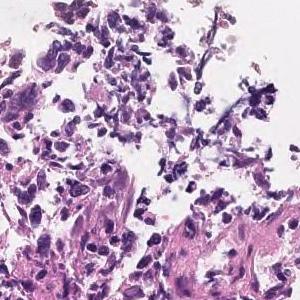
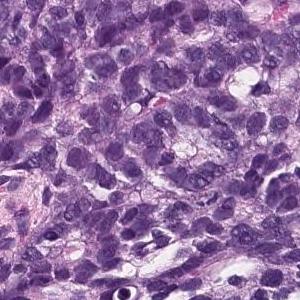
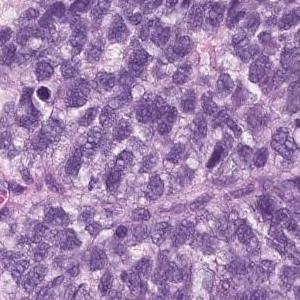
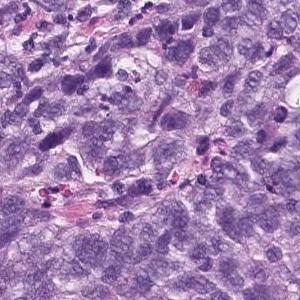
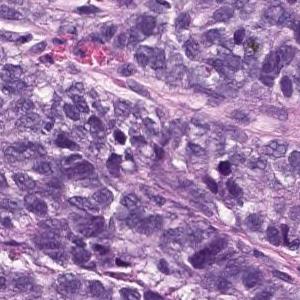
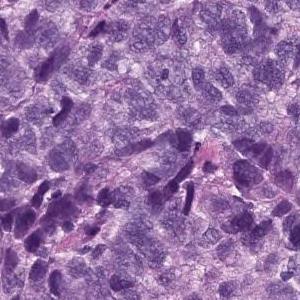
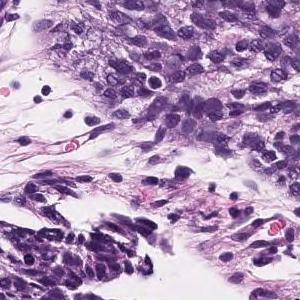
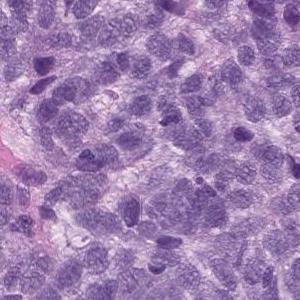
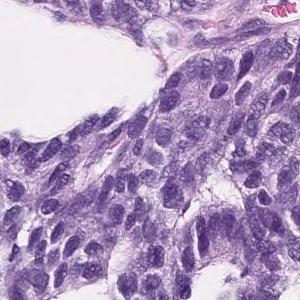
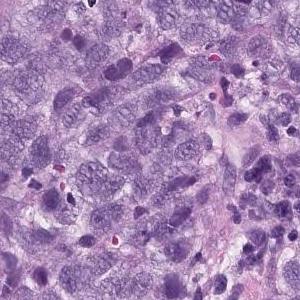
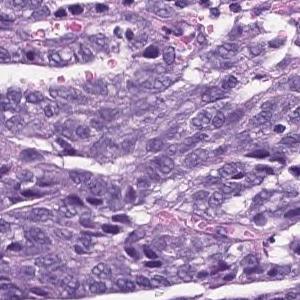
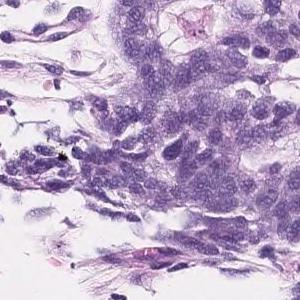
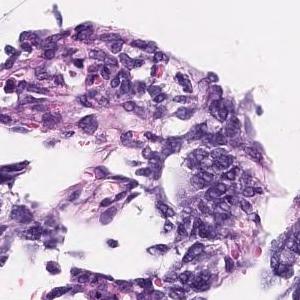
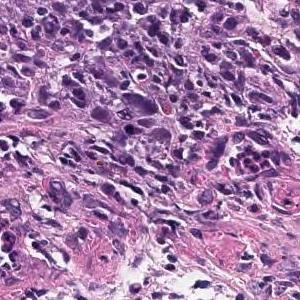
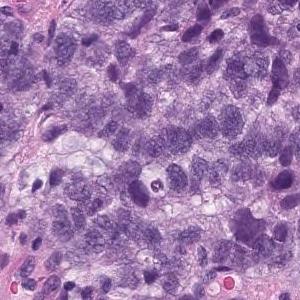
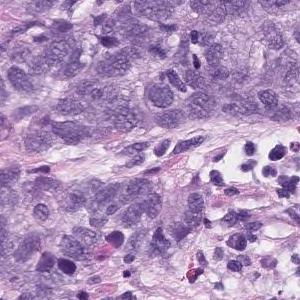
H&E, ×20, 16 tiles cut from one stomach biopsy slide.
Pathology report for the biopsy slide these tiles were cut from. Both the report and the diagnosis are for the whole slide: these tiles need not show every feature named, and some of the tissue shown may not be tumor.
Epithelial cells with swollen nuclei with atypia invasively proliferating while forming vesicles is observed. Poorly differentiated adenocarcinoma
Histological subtype: Poorly differentiated adenocarcinoma, solid type (Japanese Classification of Gastric Carcinoma). The WHO 2019 equivalent is tubular adenocarcinoma, poorly differentiated.
